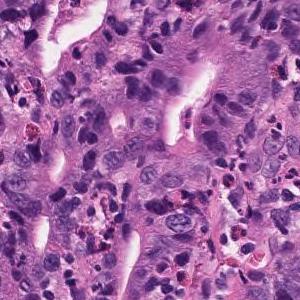
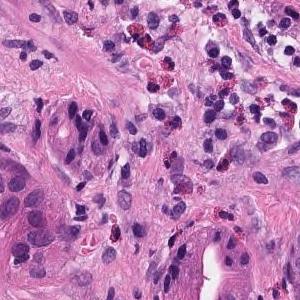
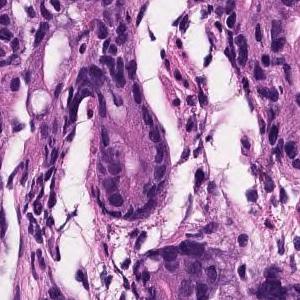
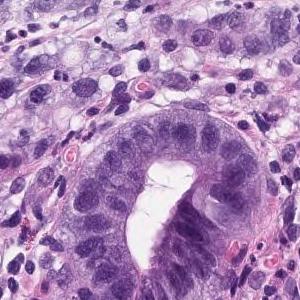
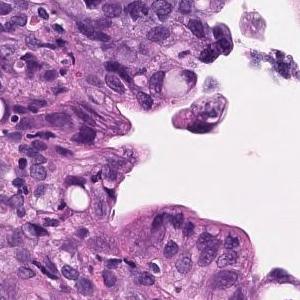
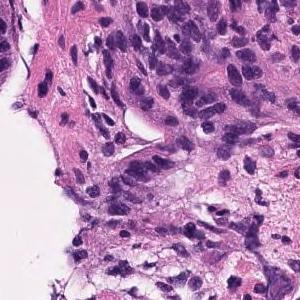
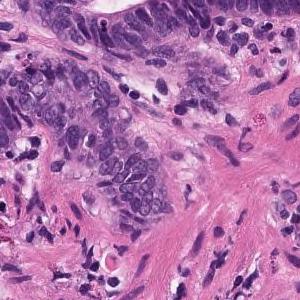
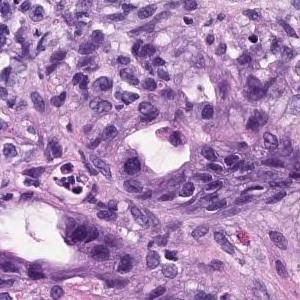
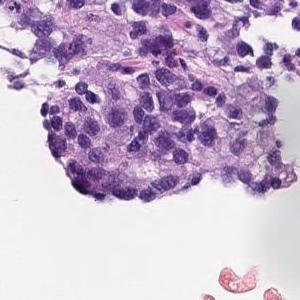
9 tiles cut from one stomach biopsy slide · 300×300 px each · H&E stain.
Pathology report for the biopsy slide these tiles were cut from. The report and the diagnosis cover the entire slide, so not every feature they name need be visible here, and some tissue shown may not be tumor.
moderately differentiated tubular adenocarcinoma, Poorly differentiated adenocarcinoma
Dataset label: poorly differentiated adenocarcinoma, solid type (Japanese Classification of Gastric Carcinoma). The WHO 2019 equivalent is tubular adenocarcinoma, poorly differentiated.
